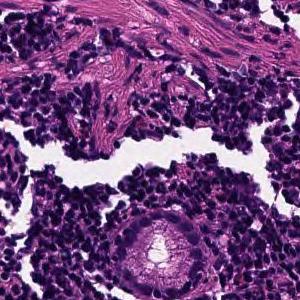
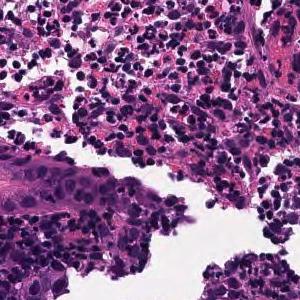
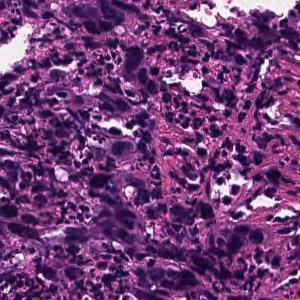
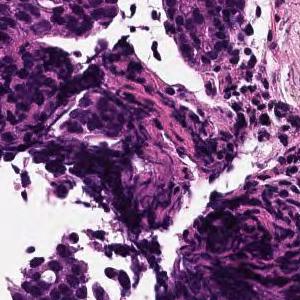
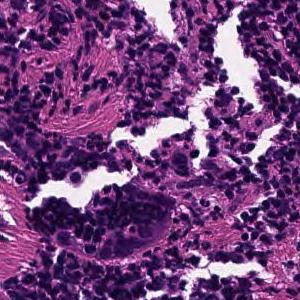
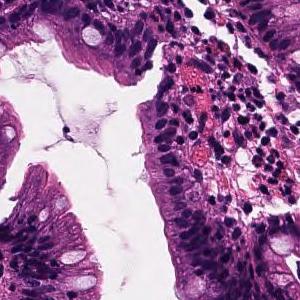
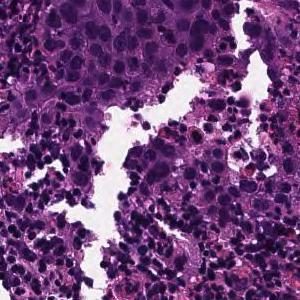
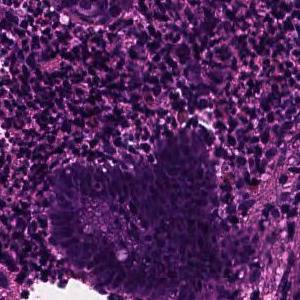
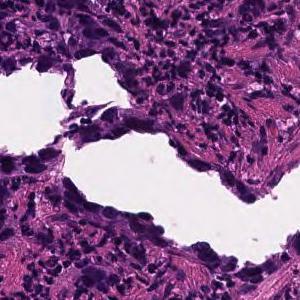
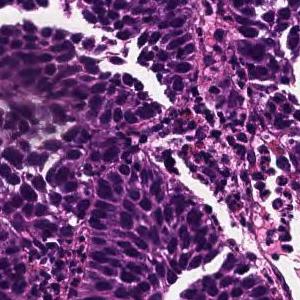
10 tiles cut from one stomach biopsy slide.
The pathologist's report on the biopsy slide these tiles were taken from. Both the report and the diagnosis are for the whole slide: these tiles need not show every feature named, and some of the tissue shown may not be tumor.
Tumor tissue consisting of cord-like or small, irregular glandular ducts fused and infiltrated is observed in the superficial epithelium. Poorly differentiated adenocarcinoma, non-solid type
"Non-solid type" is a category of the Japanese Classification of Gastric Carcinoma.
